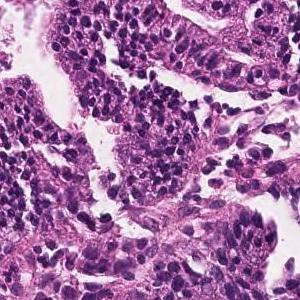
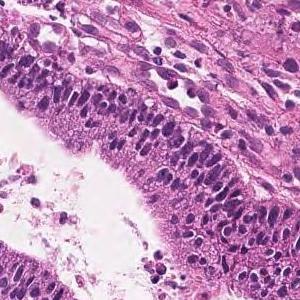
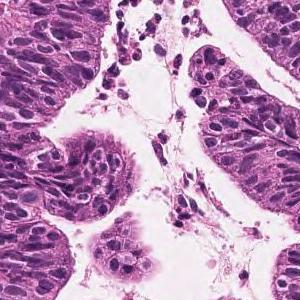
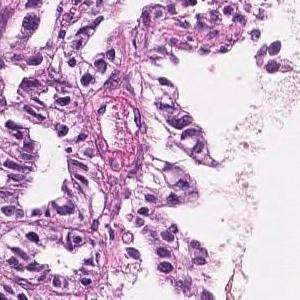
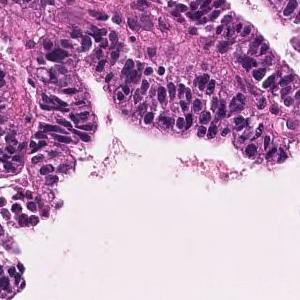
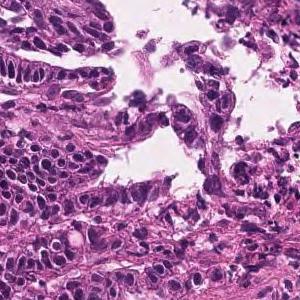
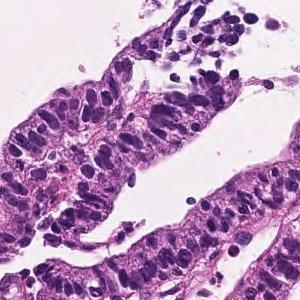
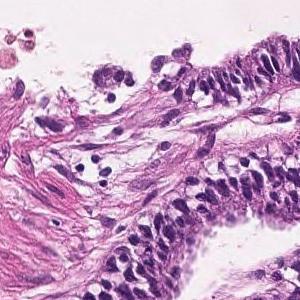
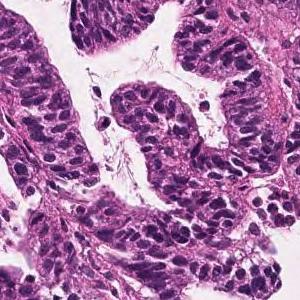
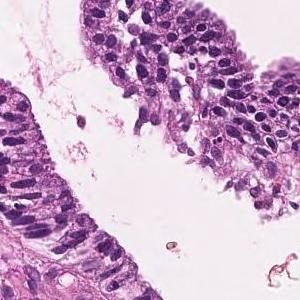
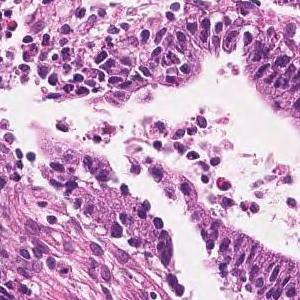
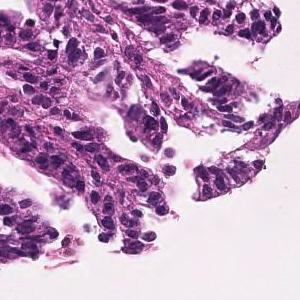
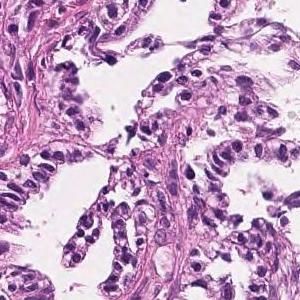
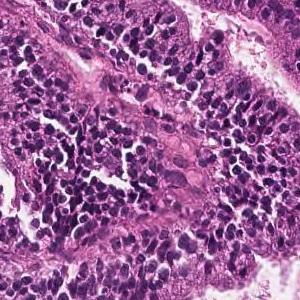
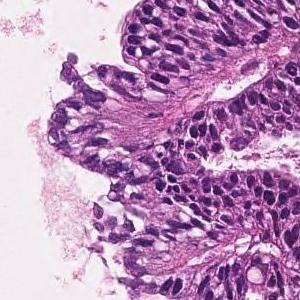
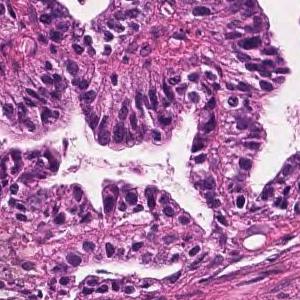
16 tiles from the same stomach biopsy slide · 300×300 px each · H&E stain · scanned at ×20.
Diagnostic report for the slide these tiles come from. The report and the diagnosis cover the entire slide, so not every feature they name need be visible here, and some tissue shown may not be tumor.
Tumor cells are large, highly columnar, large club-shaped nuclei, and are associated with chromatin aggregation. Papillary adenocarcinoma.
